×20, H&E, 12 tiles from the same stomach biopsy slide, 300 × 300 pixels each.
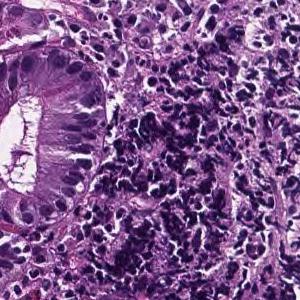
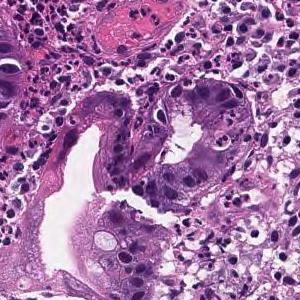
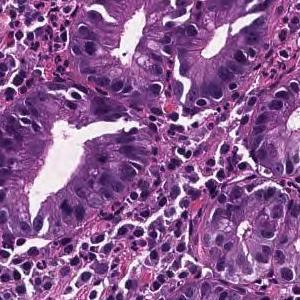
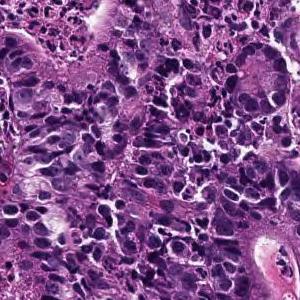
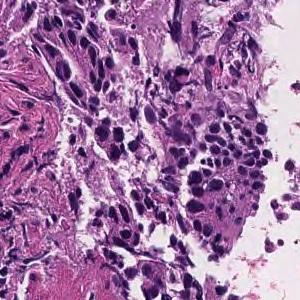
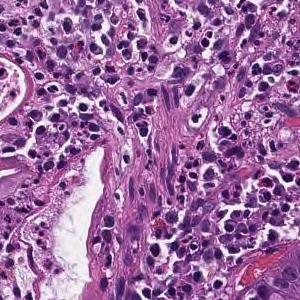
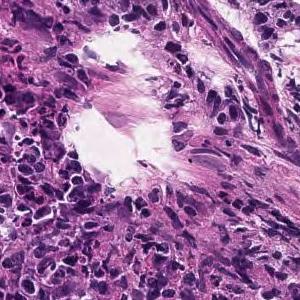
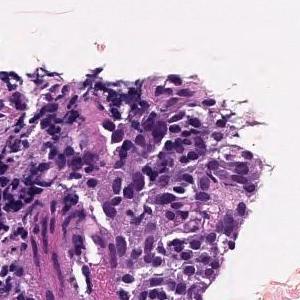
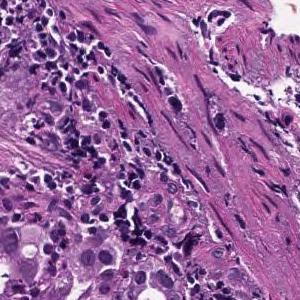
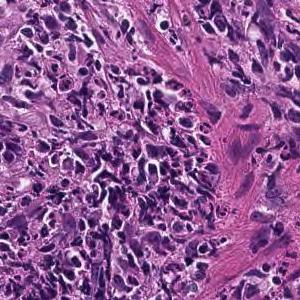
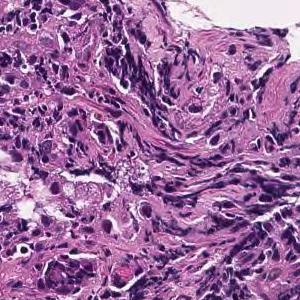
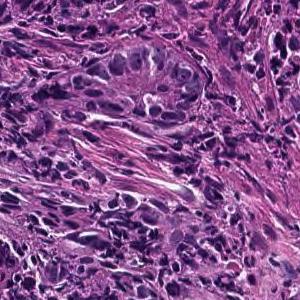
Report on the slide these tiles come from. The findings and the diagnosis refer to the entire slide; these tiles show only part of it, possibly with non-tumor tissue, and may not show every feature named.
On the superficial epithelium, tumor tissue consisting of large, irregular glandular ducts partially fused and infiltrated is observed. Well to moderately differentiated tubular adenocarcinoma (well differentiated tubular adenocarcinoma, moderately differentiated tubular adenocarcinoma)
Tumor subtype: well to moderately differentiated tubular adenocarcinoma.
